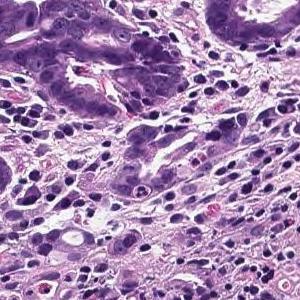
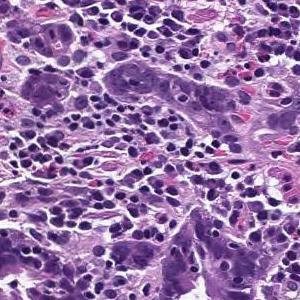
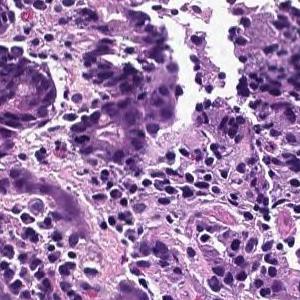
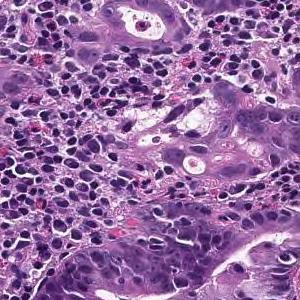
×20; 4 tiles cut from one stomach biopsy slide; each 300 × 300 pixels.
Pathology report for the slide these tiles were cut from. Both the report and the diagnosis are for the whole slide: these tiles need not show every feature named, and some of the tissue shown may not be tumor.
In the superficial epithelium, tumor tissue that invades by forming medium-sized to small, irregular ducts is observed. moderately differentiated tubular adenocarcinoma.
